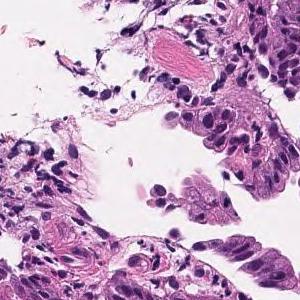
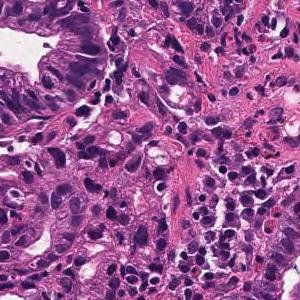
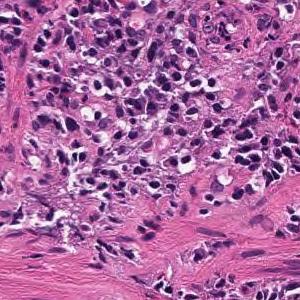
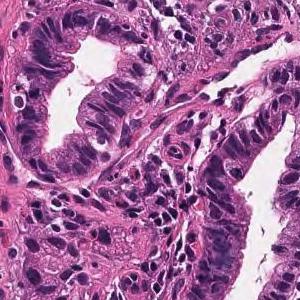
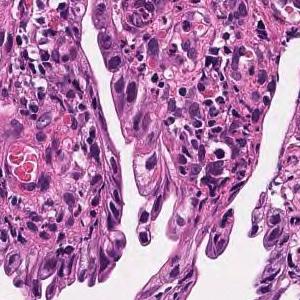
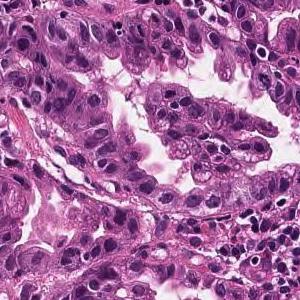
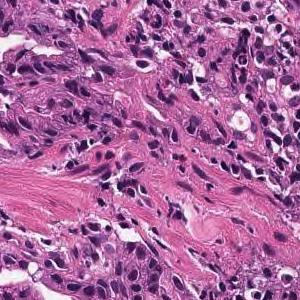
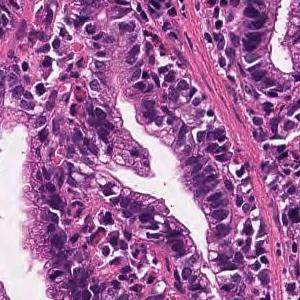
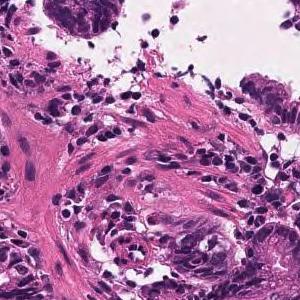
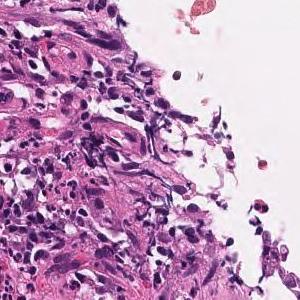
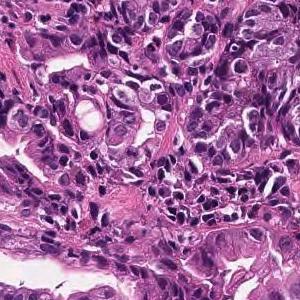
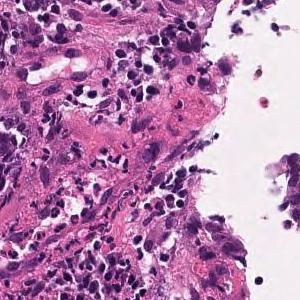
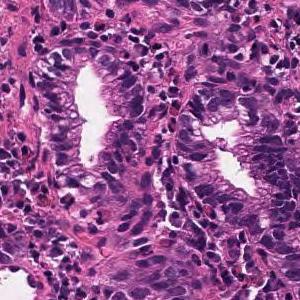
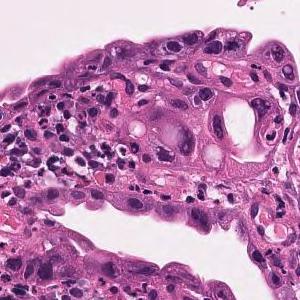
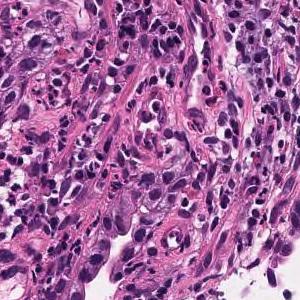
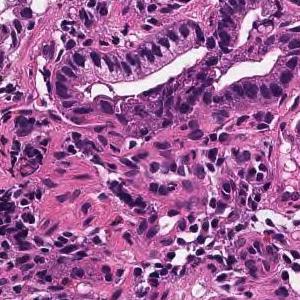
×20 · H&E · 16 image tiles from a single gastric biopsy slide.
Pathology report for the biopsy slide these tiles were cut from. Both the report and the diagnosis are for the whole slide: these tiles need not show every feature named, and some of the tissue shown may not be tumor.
Tumor tissue in which medium to small irregular ducts infiltrate and proliferate in the submucosa can be seen in the epithelium. Well differentiated tubular adenocarcinoma
